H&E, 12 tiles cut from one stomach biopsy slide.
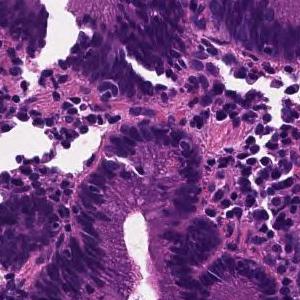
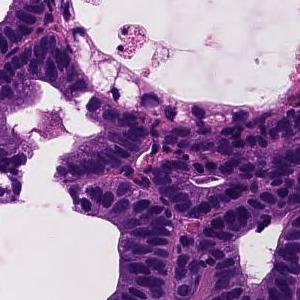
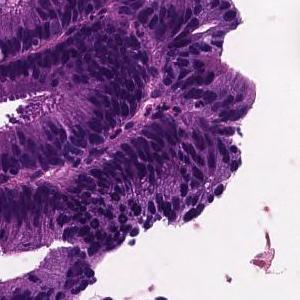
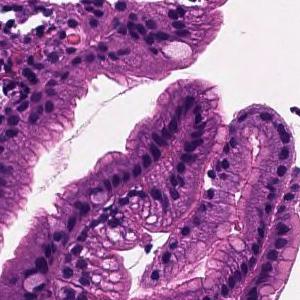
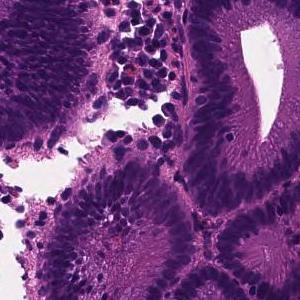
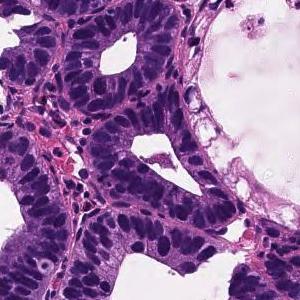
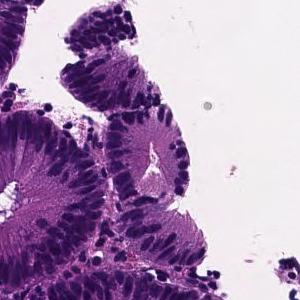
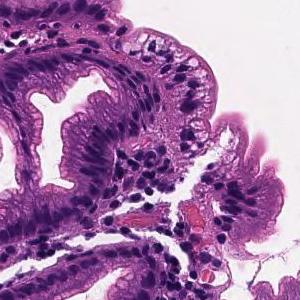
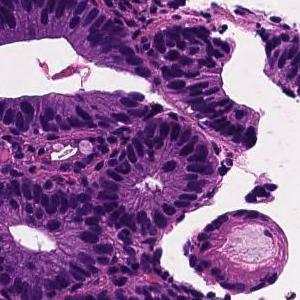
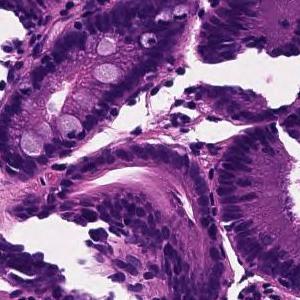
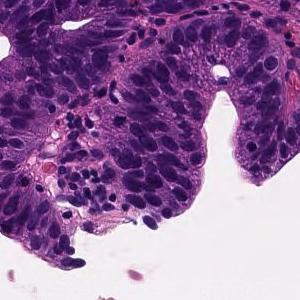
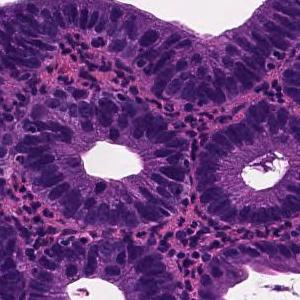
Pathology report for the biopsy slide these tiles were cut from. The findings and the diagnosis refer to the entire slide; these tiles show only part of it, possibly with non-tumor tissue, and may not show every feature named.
Tumor tissue in which medium to small irregular ducts infiltrate and proliferate in the submucosa can be seen in the epithelium. Well differentiated tubular adenocarcinoma
